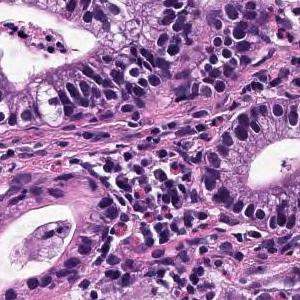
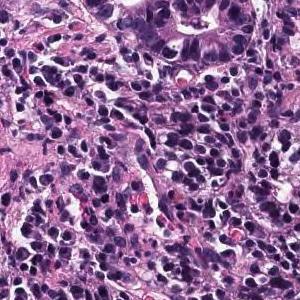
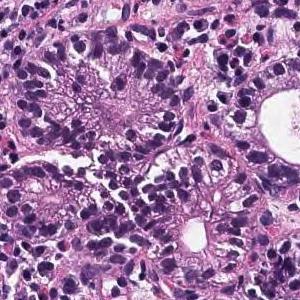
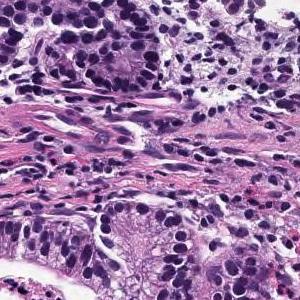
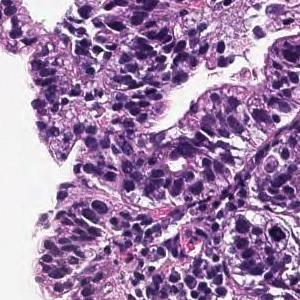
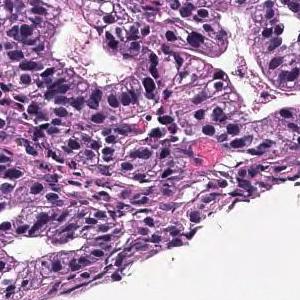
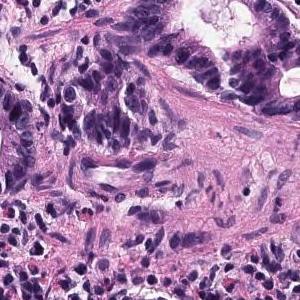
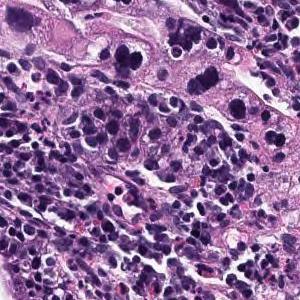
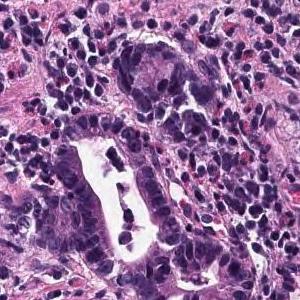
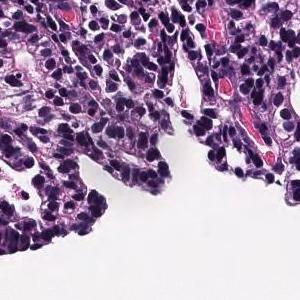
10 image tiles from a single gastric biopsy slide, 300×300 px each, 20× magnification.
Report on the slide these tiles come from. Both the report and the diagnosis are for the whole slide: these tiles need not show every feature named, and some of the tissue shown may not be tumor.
Neoplastic cells with atypical nuclei of different sizes exhibit tubular glands and infiltrate and proliferate. Moderately differentiated tubular adenocarcinoma.
